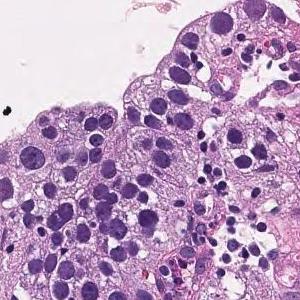
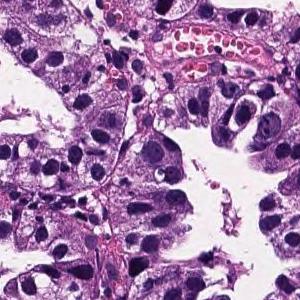
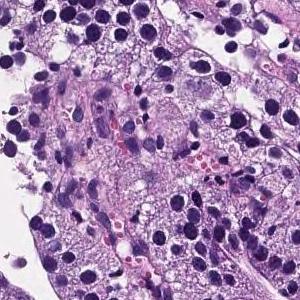
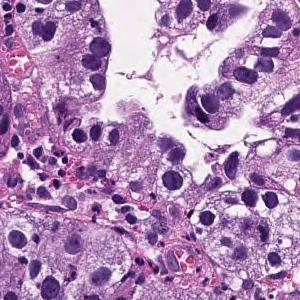
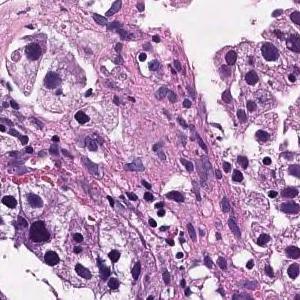
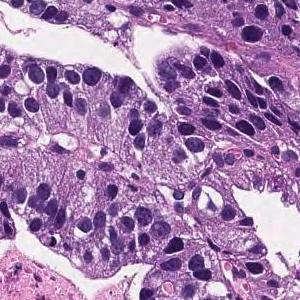
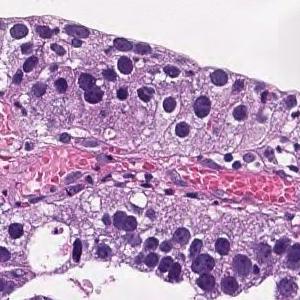
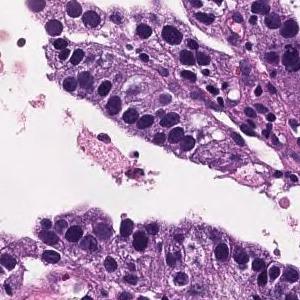
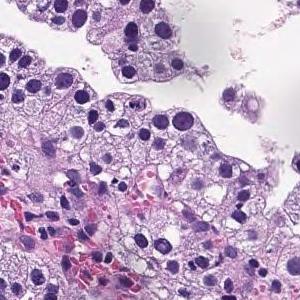
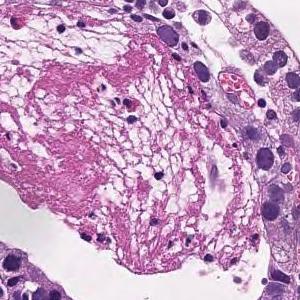
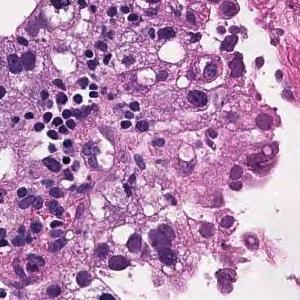
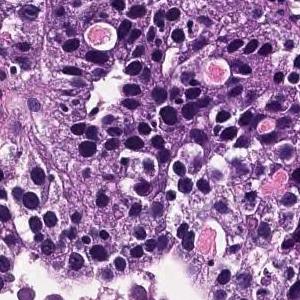
H&E stain · 12 image tiles from a single gastric biopsy slide.
Diagnostic report for the slide these tiles come from. What the report and the diagnosis say applies to the whole slide; these tiles may miss some of the features named and may include tissue that is not tumor.
On the superficial epithelium, tumor tissue that infiltrates by forming medium-sized papillary or small irregular ducts is observed. Papillary adenocarcinoma
